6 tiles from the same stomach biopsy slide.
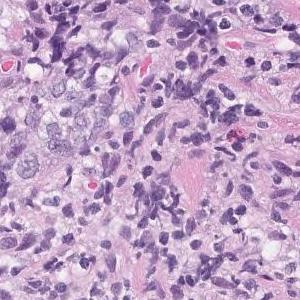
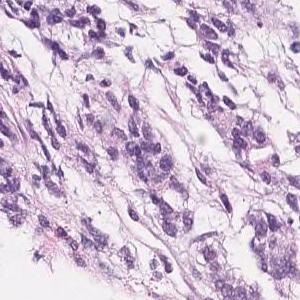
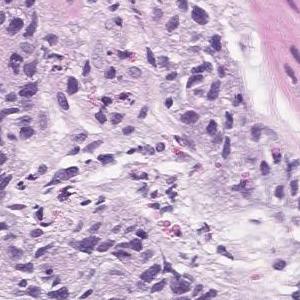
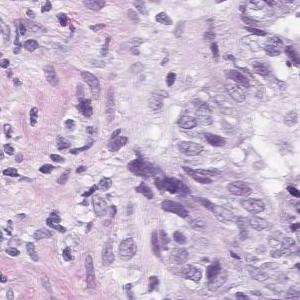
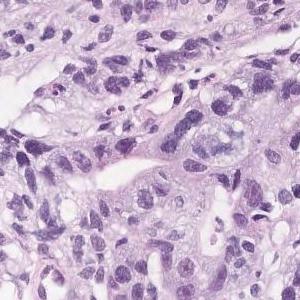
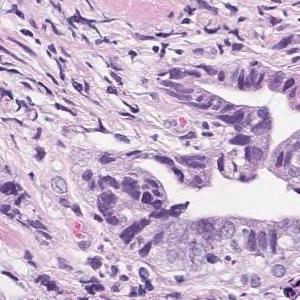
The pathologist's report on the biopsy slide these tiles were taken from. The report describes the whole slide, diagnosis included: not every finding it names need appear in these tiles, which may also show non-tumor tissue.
Highly columnar epithelium with disordered nuclear localization proliferates showing fusion ductal construction. moderately differentiated tubular adenocarcinoma
